H&E stain; 20× magnification; 4 tiles from the same stomach biopsy slide.
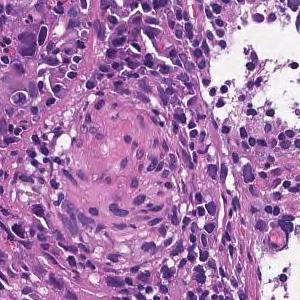
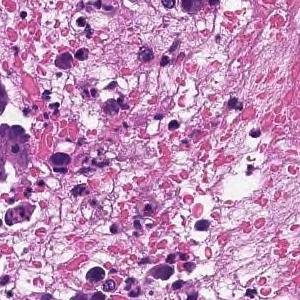
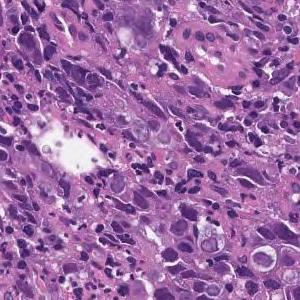
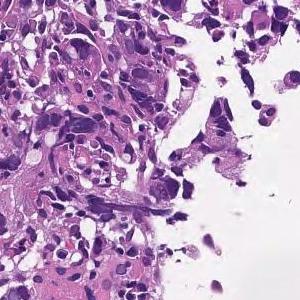
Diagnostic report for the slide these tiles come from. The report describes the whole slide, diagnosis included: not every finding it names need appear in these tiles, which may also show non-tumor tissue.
Tumor tissue consisting of cord-like or small, irregular glandular ducts fused and infiltrated is observed in the superficial epithelium. Poorly differentiated adenocarcinoma, non-solid type
"Non-solid type" is a category of the Japanese Classification of Gastric Carcinoma.
